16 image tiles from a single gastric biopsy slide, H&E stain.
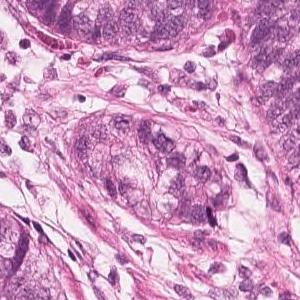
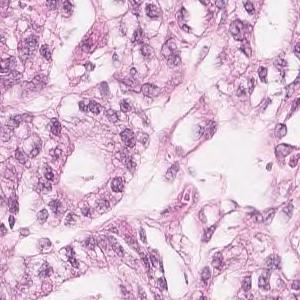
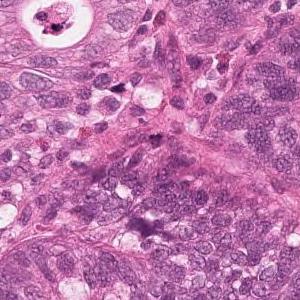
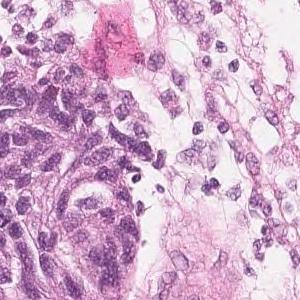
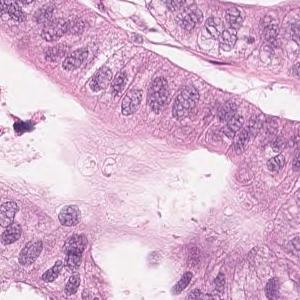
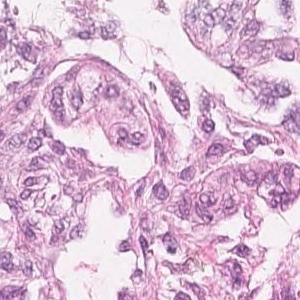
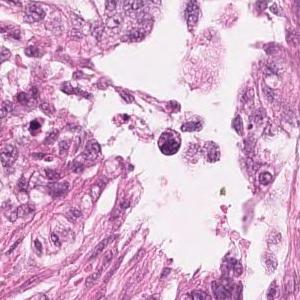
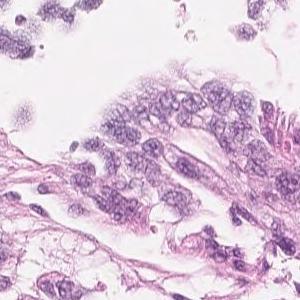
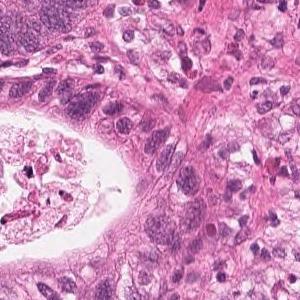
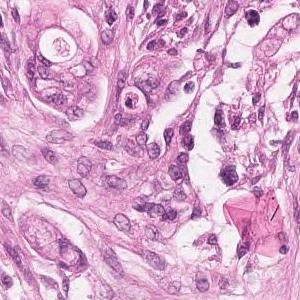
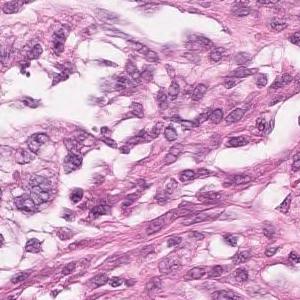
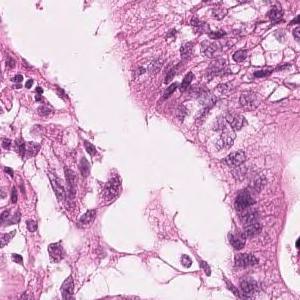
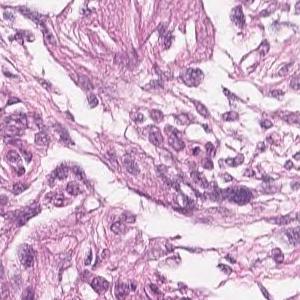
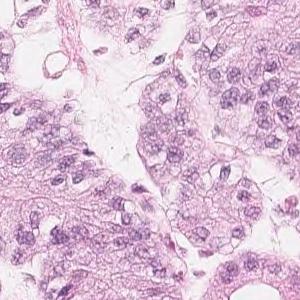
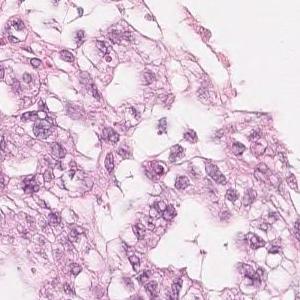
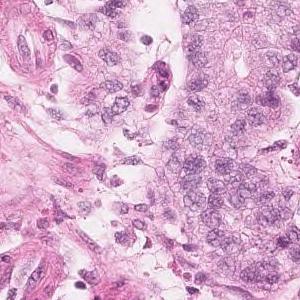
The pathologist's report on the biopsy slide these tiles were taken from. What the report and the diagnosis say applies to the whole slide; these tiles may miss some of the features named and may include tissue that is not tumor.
Highly columnar epithelium with disordered nuclear localization proliferates showing fusion ductal construction. moderately differentiated tubular adenocarcinoma
